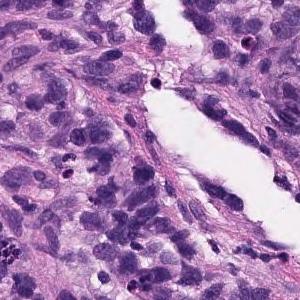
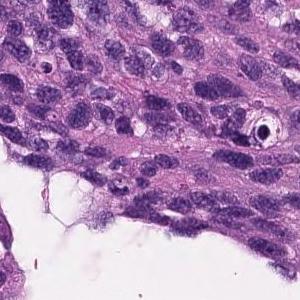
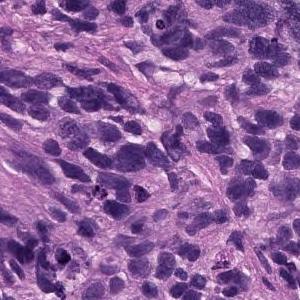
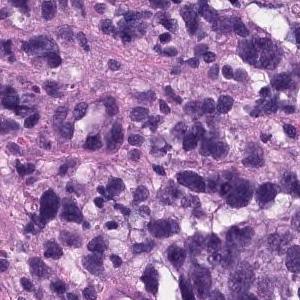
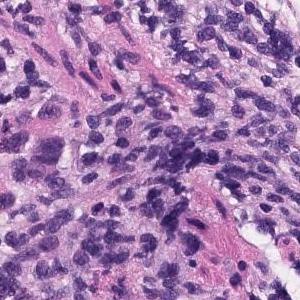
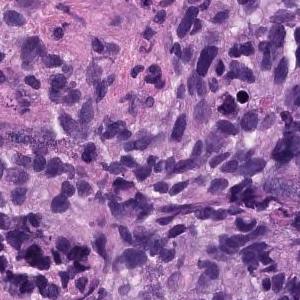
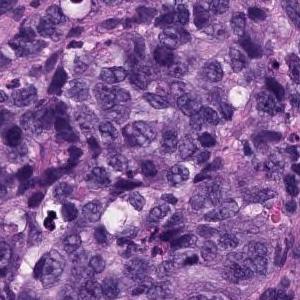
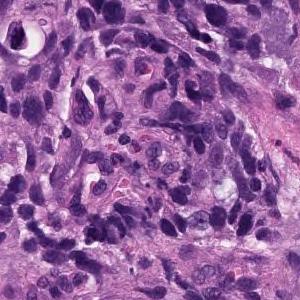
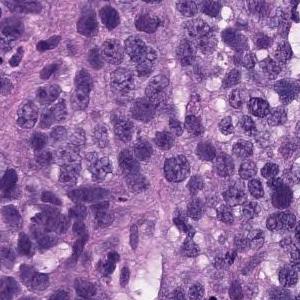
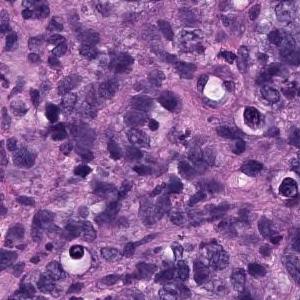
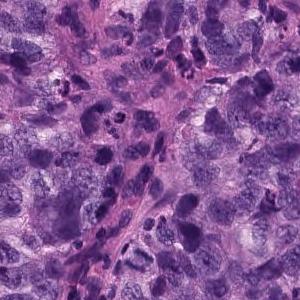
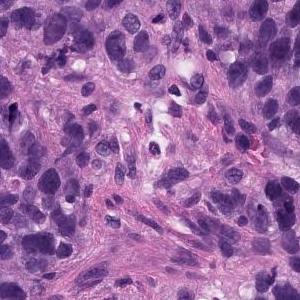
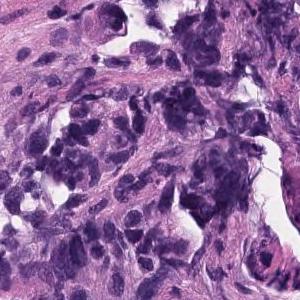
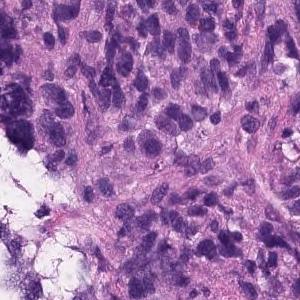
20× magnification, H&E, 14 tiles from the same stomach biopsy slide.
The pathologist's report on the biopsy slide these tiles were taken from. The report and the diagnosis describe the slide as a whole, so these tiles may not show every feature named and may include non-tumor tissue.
Atypical l cells with atypical nuclei under the mucosa growing in isolation and scattered. Poorly differentiated adenocarcinoma (poorly differentiated adenocarcinoma, non-solid type)
Classified as poorly differentiated adenocarcinoma, non-solid type.
"Non-solid type" is a category of the Japanese Classification of Gastric Carcinoma.
